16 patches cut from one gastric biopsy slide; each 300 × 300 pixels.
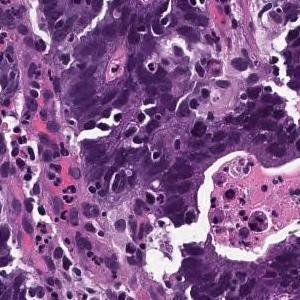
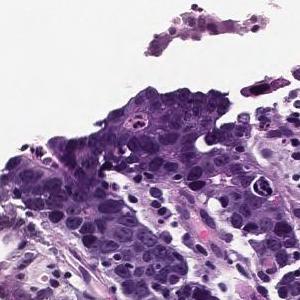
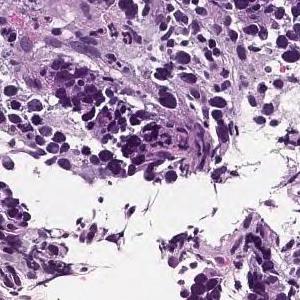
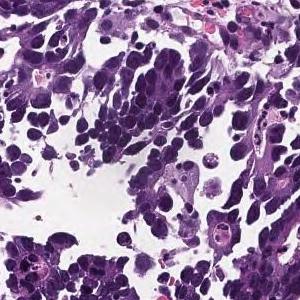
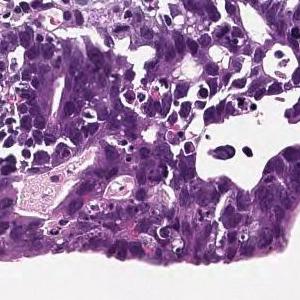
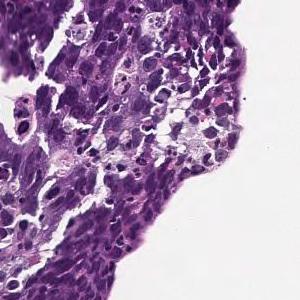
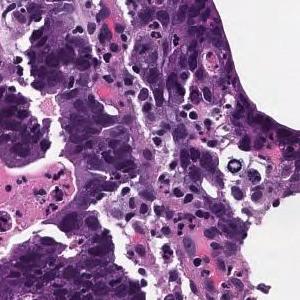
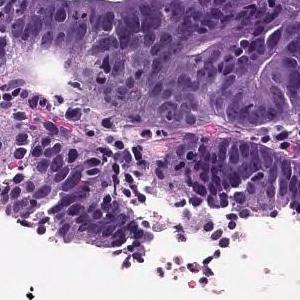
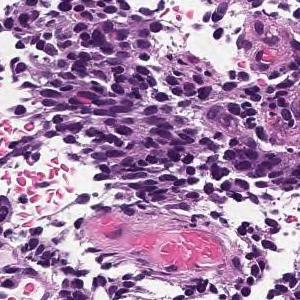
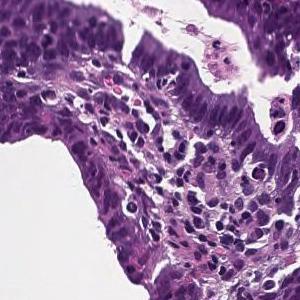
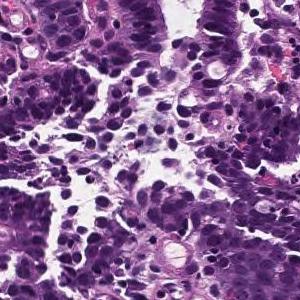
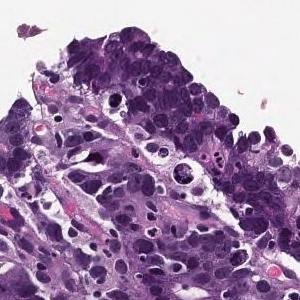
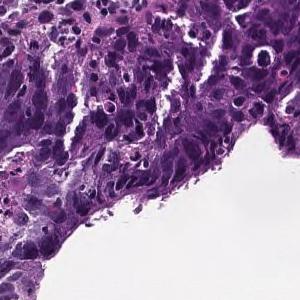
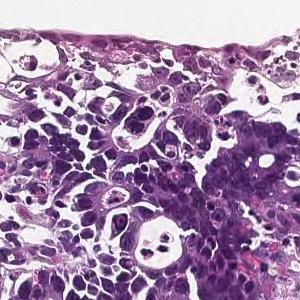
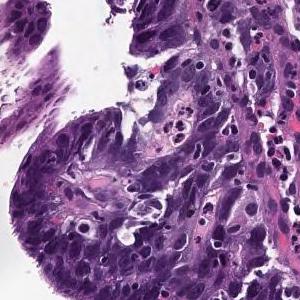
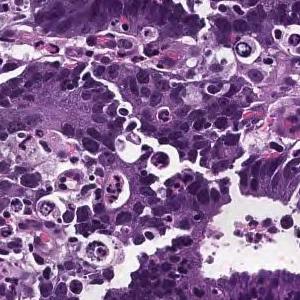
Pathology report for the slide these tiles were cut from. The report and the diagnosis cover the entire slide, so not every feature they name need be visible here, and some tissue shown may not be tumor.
On the superficial epithelium, tumor tissue is found in which medium-sized irregular gland ducts fuse with each other and infiltrate. moderately differentiated tubular adenocarcinoma
